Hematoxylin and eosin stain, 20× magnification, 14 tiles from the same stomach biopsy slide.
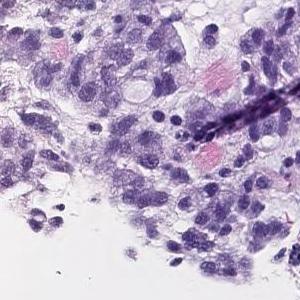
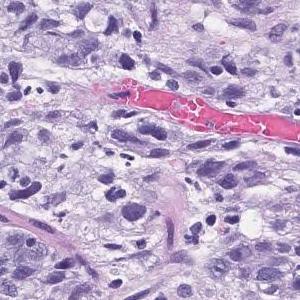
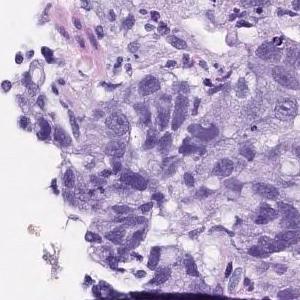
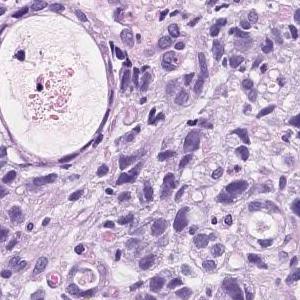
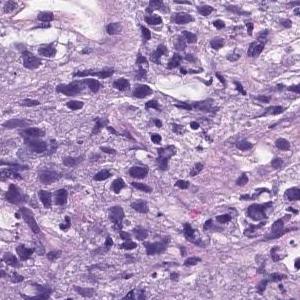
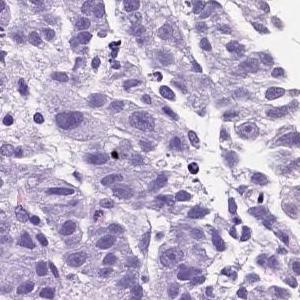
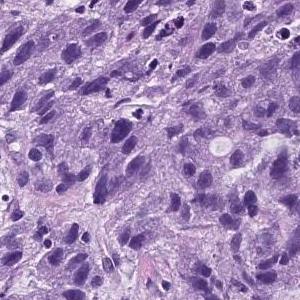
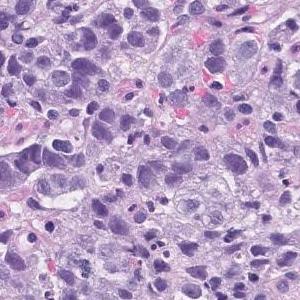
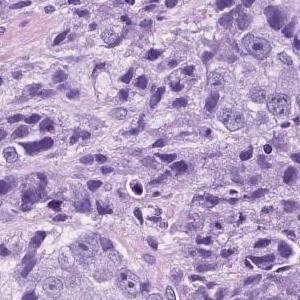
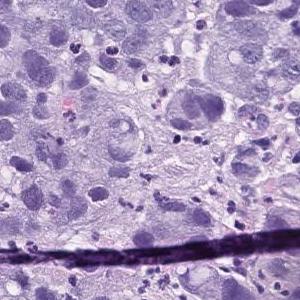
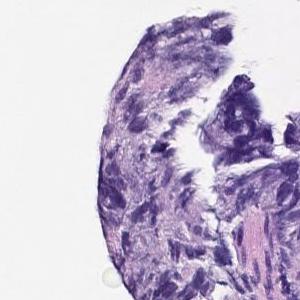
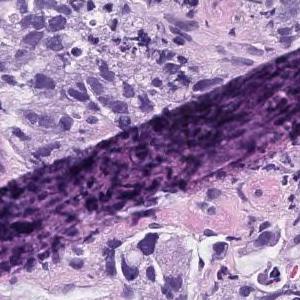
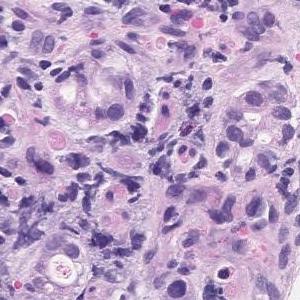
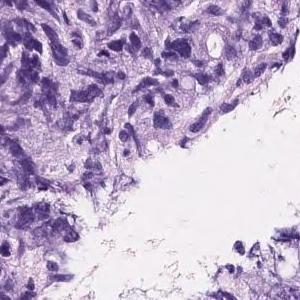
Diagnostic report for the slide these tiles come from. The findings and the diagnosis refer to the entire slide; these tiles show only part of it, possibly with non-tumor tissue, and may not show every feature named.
Atypical l cells with atypical nuclei forming solid vesicles or small irregular atypical ducts that proliferate in a complex manner. poorly differentiated adenocarcinoma, solid type, moderately differentiated tubular adenocarcinoma
The term "solid type" comes from the Japanese Classification of Gastric Carcinoma; the WHO 2019 equivalent is tubular adenocarcinoma, poorly differentiated.
